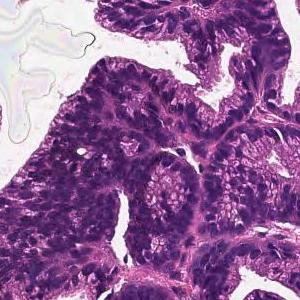
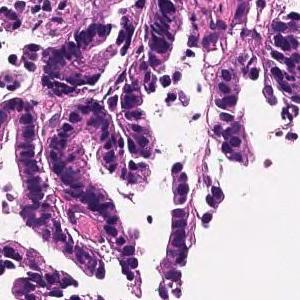
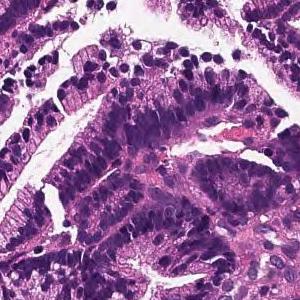
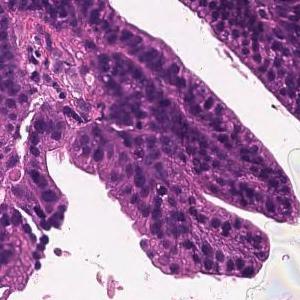
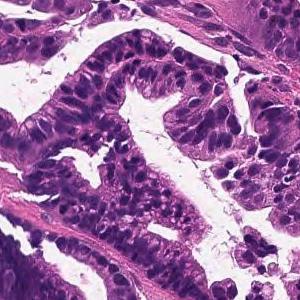
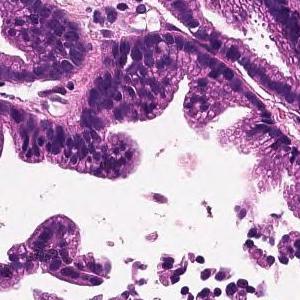
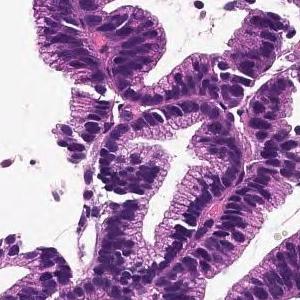
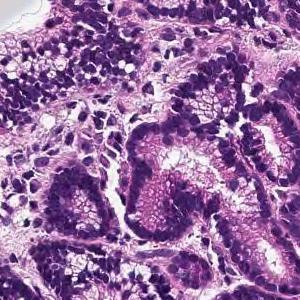
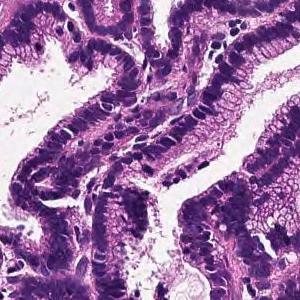
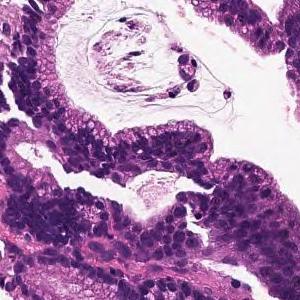
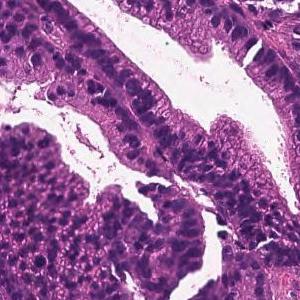
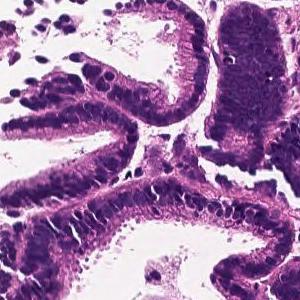
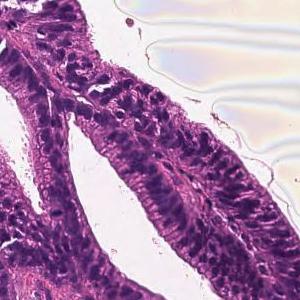
H&E stain, scanned at ×20, 13 image tiles from a single gastric biopsy slide.
Report on the slide these tiles come from. The report and the diagnosis describe the slide as a whole, so these tiles may not show every feature named and may include non-tumor tissue.
On the superficial epithelium, tumor tissue consisting of large irregular glandular ducts partially fused and infiltrated is observed. Well to moderately differentiated tubular adenocarcinoma (well differentiated tubular adenocarcinoma, moderately differentiated tubular adenocarcinoma)
Tumor subtype: well to moderately differentiated tubular adenocarcinoma.
